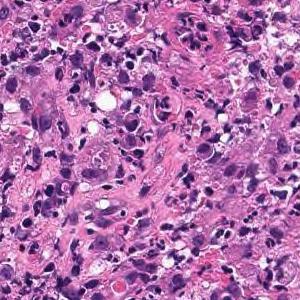
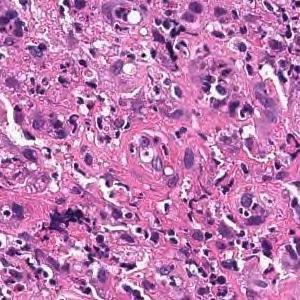
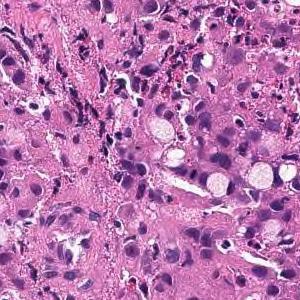
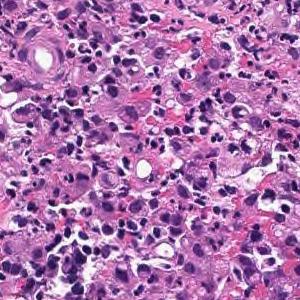
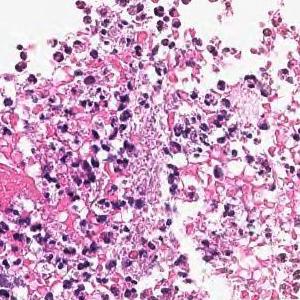
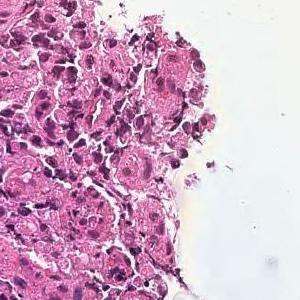
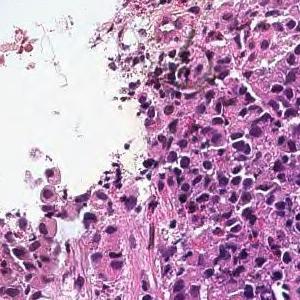
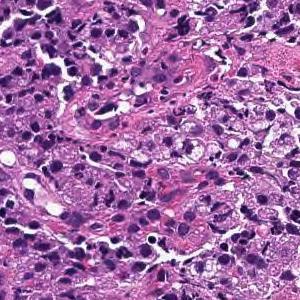
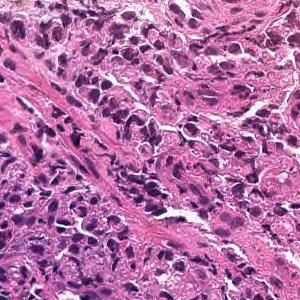
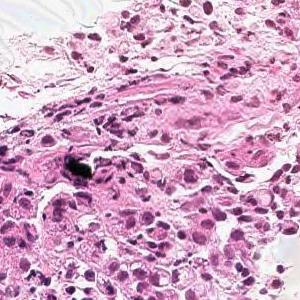
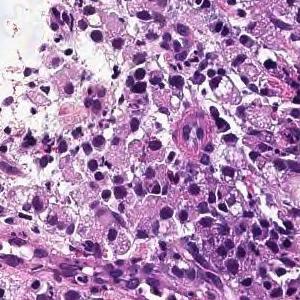
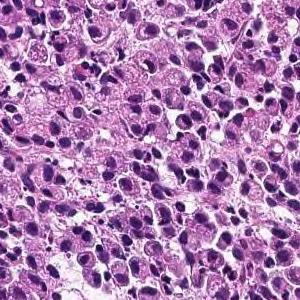
12 tiles from the same stomach biopsy slide, H&E stain, 20× magnification.
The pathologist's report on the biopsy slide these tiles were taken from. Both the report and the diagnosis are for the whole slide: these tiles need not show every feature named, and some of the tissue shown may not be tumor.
Tumor tissue consisting of diffusely infiltrated large atypical epithelial cells or signet ring atypical cells is observed in the superficial epithelium. Poorly differentiated adenocarcinoma, solid-type
Subtype: Poorly differentiated adenocarcinoma, solid type, a category of the Japanese Classification of Gastric Carcinoma; in the WHO 2019 classification it is tubular adenocarcinoma, poorly differentiated.
